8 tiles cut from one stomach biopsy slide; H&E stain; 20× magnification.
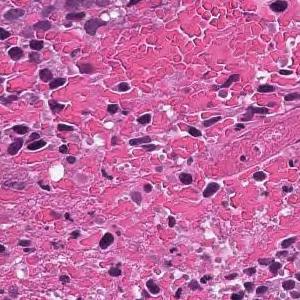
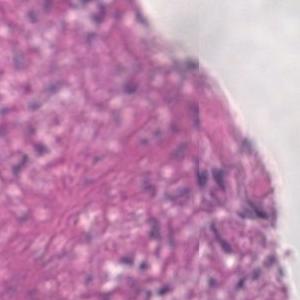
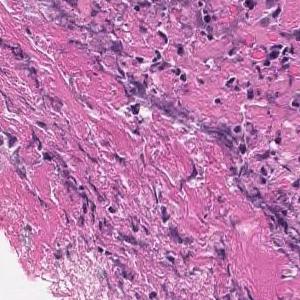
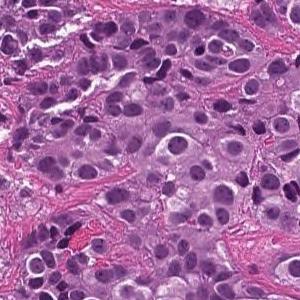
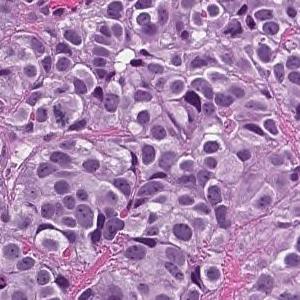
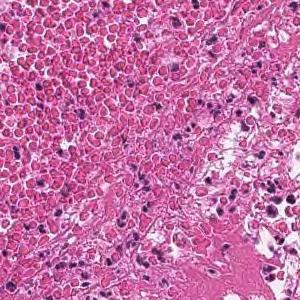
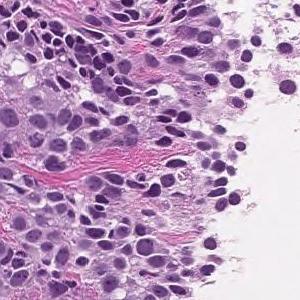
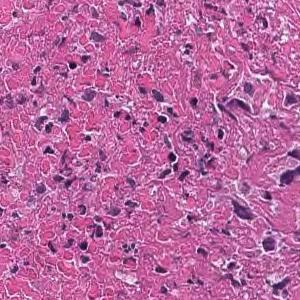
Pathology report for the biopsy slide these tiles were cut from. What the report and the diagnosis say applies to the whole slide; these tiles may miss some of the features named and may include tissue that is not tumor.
The superficial epithelium shows a large sheet-like shape, and some tumor tissue infiltrates with small irregular ducts. Poorly differentiated adenocarcinoma, solid-type
Tumor subtype: poorly differentiated adenocarcinoma, solid type. This name comes from the Japanese Classification of Gastric Carcinoma; the WHO 2019 classification calls it tubular adenocarcinoma, poorly differentiated.
